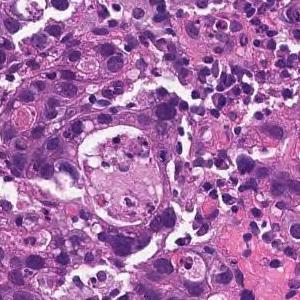
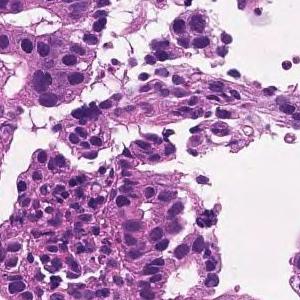
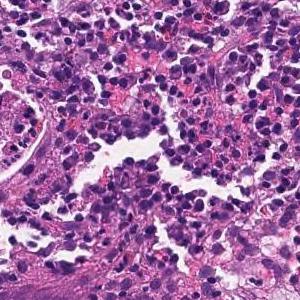
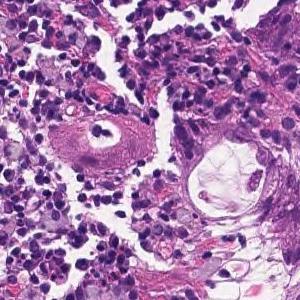
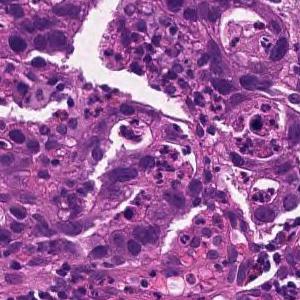
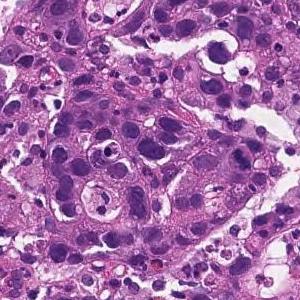
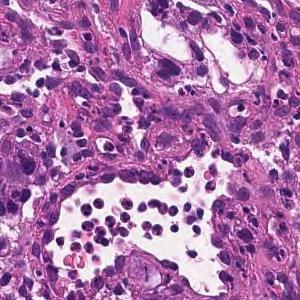
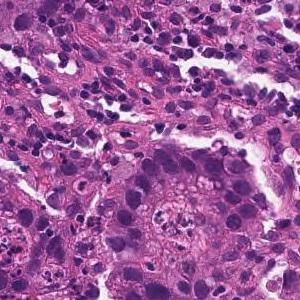
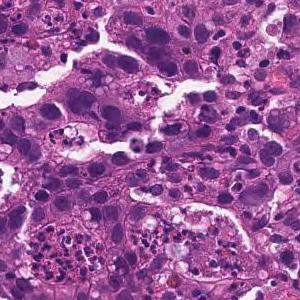
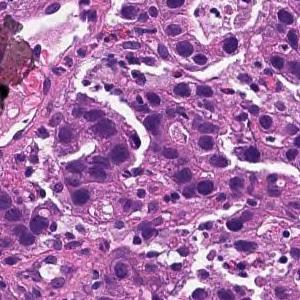
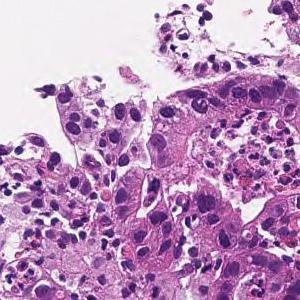
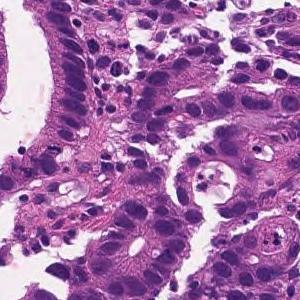
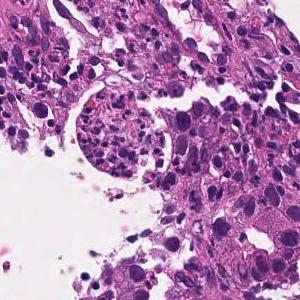
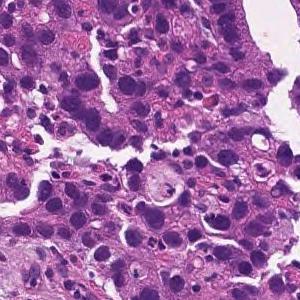
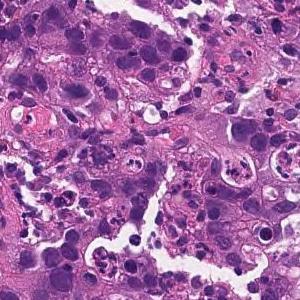
H&E, 15 tiles cut from one stomach biopsy slide, each 300 × 300 pixels.
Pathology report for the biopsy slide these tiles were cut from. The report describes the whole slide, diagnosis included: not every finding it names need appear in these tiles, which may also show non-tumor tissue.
Medium to small, irregular glandular ducts are formed in the superficial epithelium, and in some cases, the glandular ducts are fused to show solid alveolar lesions and infiltrating tumor tissue is observed. Moderately to poorly differentiated adenocarcinoma.
